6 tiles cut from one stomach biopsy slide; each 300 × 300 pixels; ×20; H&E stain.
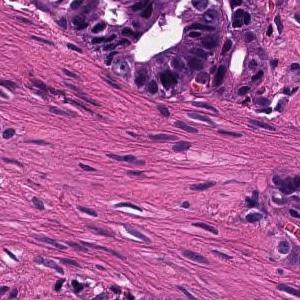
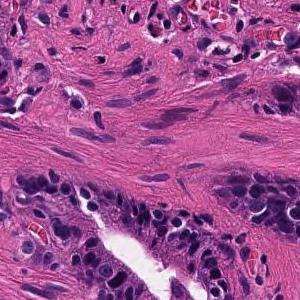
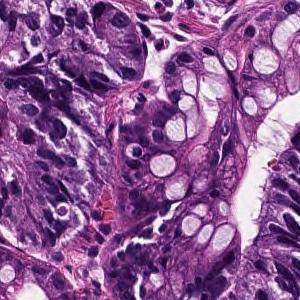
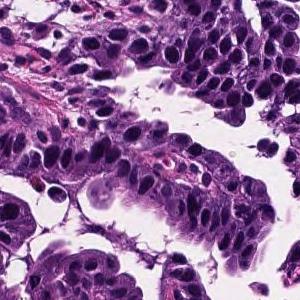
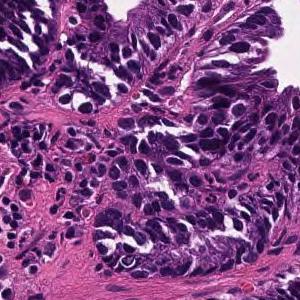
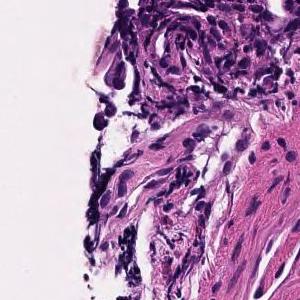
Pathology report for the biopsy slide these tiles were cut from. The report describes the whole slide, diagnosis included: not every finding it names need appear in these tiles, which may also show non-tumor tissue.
Tumor cells are large, highly columnar, large club-shaped nuclei, and are associated with chromatin aggregation. Papillary adenocarcinoma.
